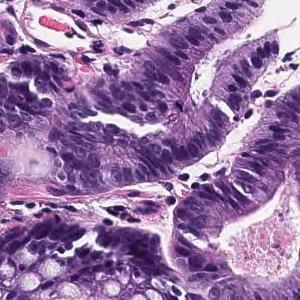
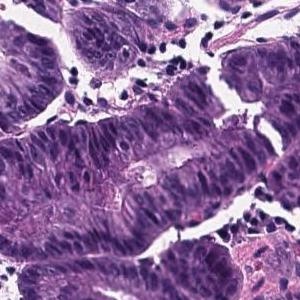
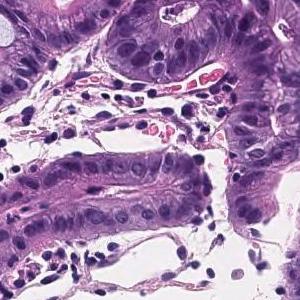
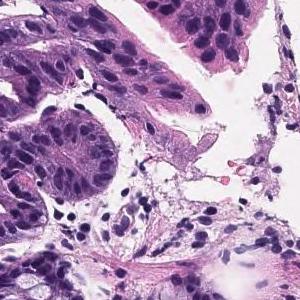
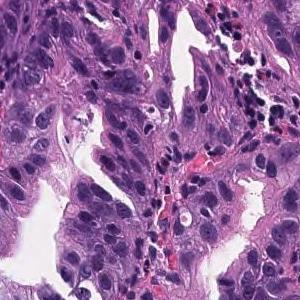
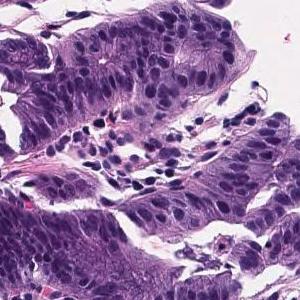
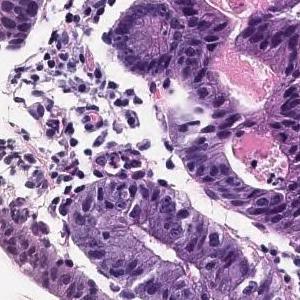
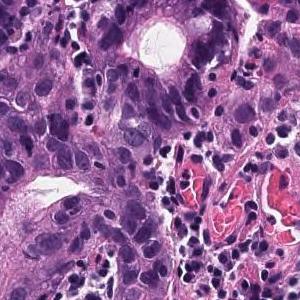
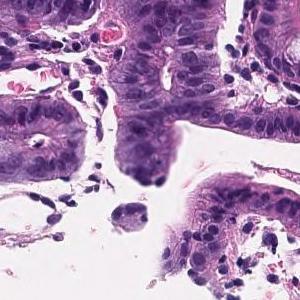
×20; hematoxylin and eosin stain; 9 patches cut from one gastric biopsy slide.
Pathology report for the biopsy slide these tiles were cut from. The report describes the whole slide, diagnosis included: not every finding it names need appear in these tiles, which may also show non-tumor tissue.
Atypical ducts are found against the background of intestinal metaplasia. Moderately differentiated tubular adenocarcinoma, Well differentiated tubular adenocarcinoma.
